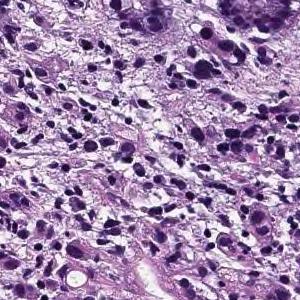
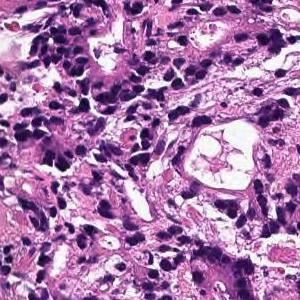
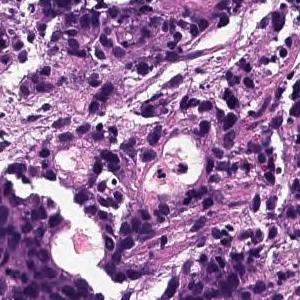
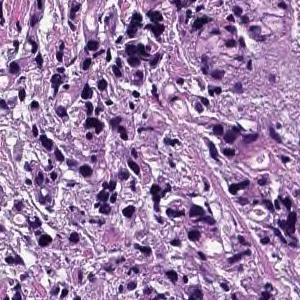
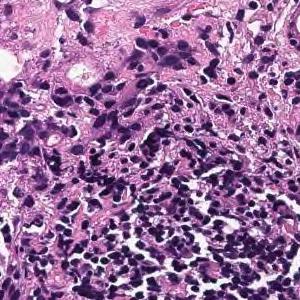
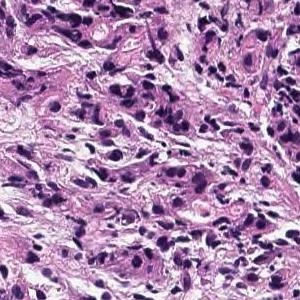
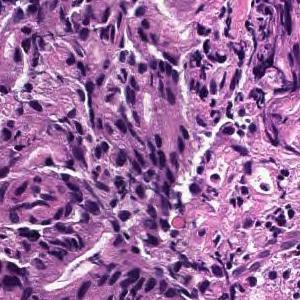
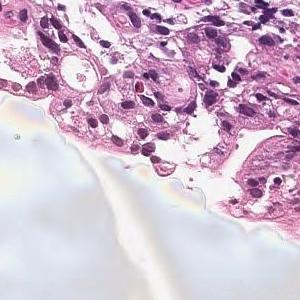
8 image tiles from a single gastric biopsy slide · each 300 × 300 pixels · scanned at ×20 · H&E stain.
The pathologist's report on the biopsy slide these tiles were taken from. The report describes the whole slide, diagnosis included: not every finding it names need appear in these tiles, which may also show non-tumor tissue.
Tumor tissue consisting of cord-like or small, irregular glandular ducts fused and infiltrated is observed in the superficial epithelium. Poorly differentiated adenocarcinoma, non-solid type
"Non-solid type" is a category of the Japanese Classification of Gastric Carcinoma.
